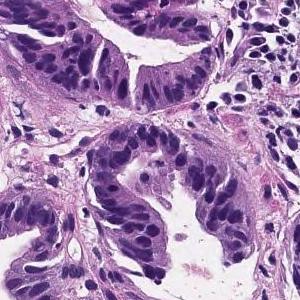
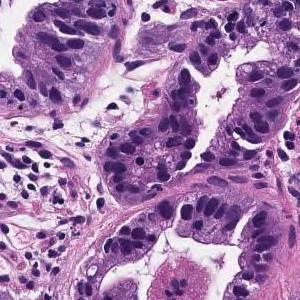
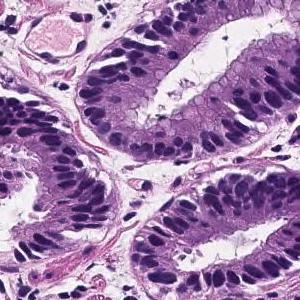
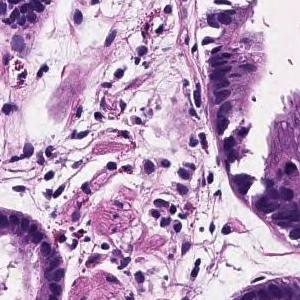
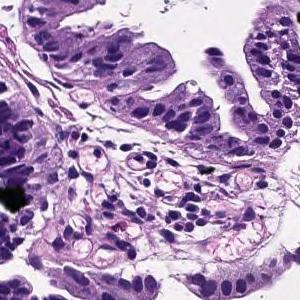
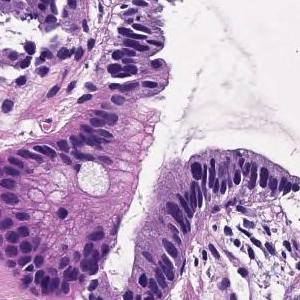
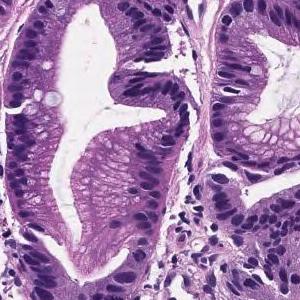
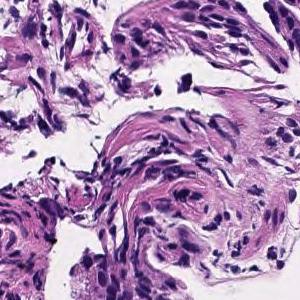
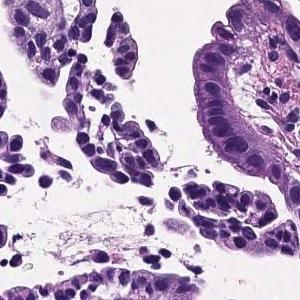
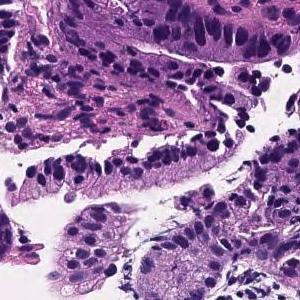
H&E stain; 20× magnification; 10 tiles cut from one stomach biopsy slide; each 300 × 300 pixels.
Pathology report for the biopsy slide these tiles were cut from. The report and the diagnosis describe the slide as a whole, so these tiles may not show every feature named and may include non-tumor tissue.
Tumor cells are large, highly columnar, large club-shaped nuclei, and are associated with chromatin aggregation. Papillary adenocarcinoma.
